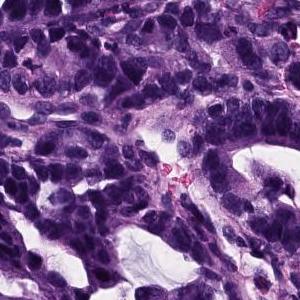
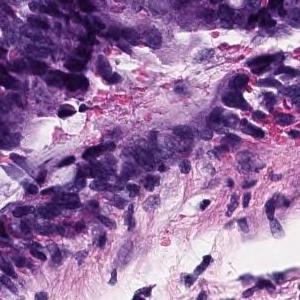
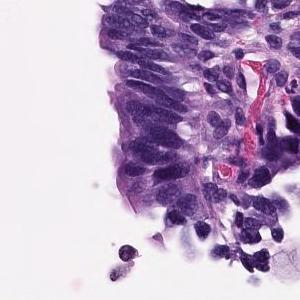
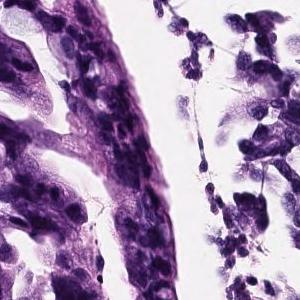
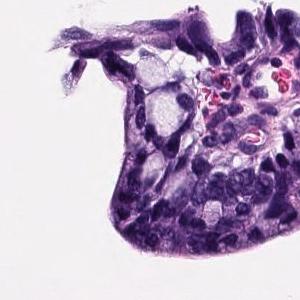
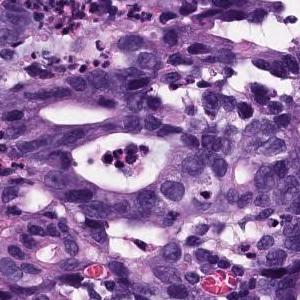
6 tiles from the same stomach biopsy slide; hematoxylin and eosin stain; ×20.
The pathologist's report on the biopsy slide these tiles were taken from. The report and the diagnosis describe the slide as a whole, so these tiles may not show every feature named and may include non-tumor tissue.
Atypical epithelium proliferating showing villus construction and irregular gland duct construction is observed. Moderately differentiated tubular adenocarcinoma.
